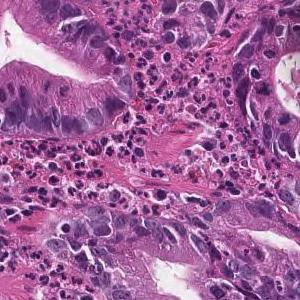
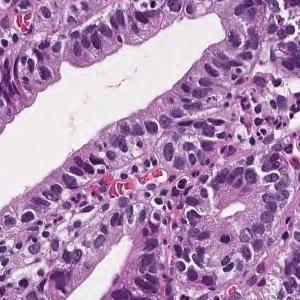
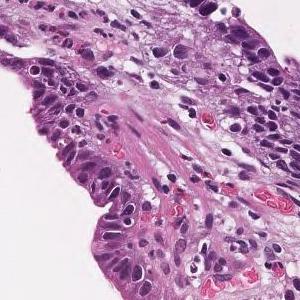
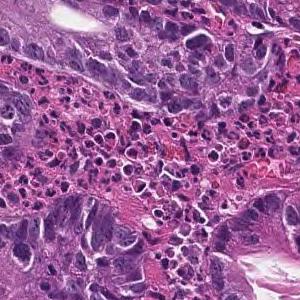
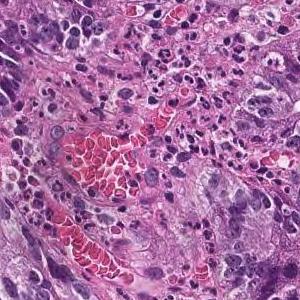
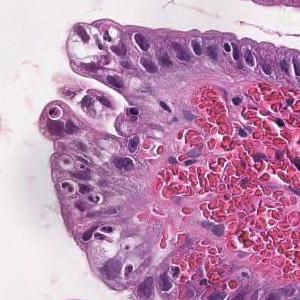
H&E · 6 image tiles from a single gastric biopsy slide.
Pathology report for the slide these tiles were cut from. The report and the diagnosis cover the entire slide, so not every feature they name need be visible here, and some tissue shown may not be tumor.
Tumor cells are large, highly columnar, large club-shaped nuclei, and are associated with chromatin aggregation. Papillary adenocarcinoma.
